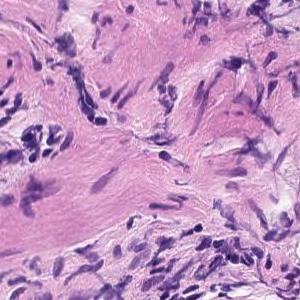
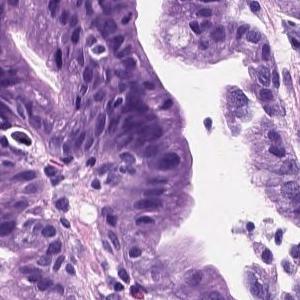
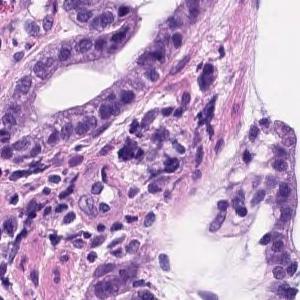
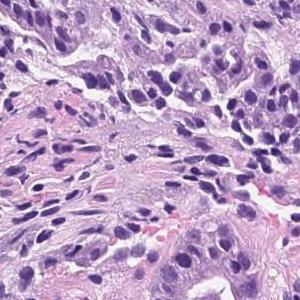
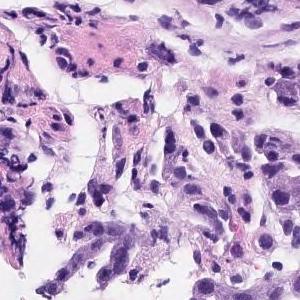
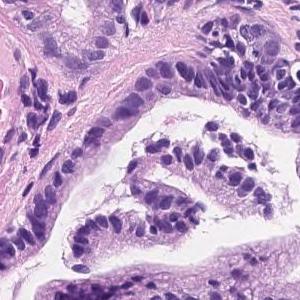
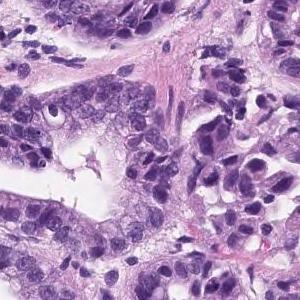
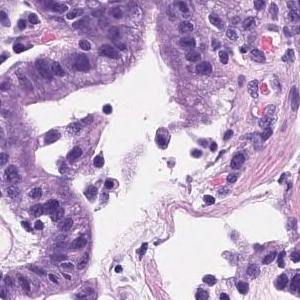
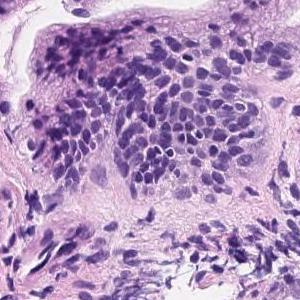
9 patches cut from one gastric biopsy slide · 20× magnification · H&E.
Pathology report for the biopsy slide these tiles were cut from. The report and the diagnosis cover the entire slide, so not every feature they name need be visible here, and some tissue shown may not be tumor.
Tumor tissue consisting of medium-sized and irregular ducts is observed infiltrating in the superficial epithelium. Tumor cells are highly columnar, with nuclei aligned basolaterally and polarized. Well differentiated tubular adenocarcinoma.
